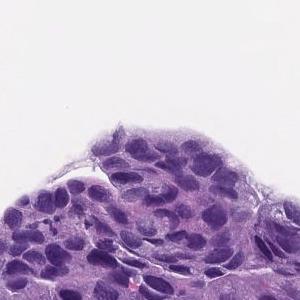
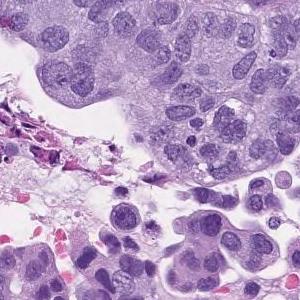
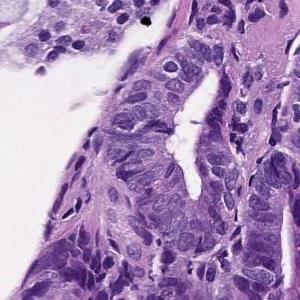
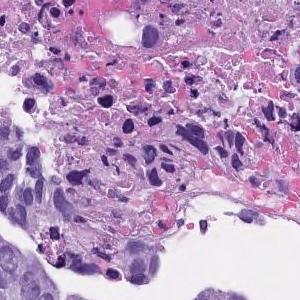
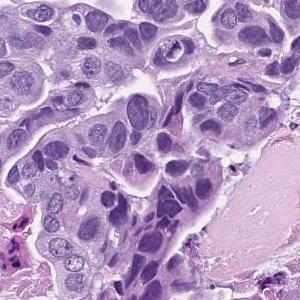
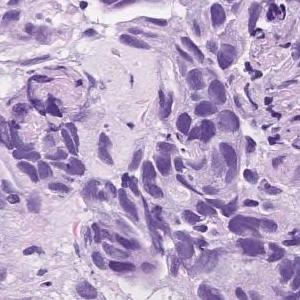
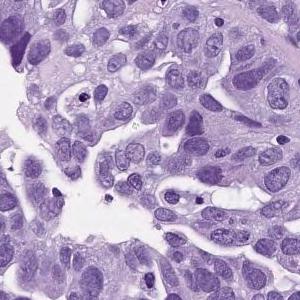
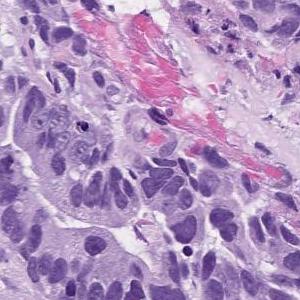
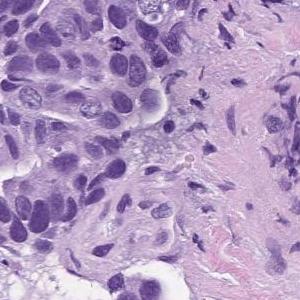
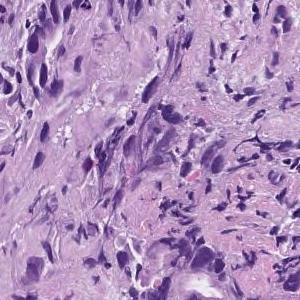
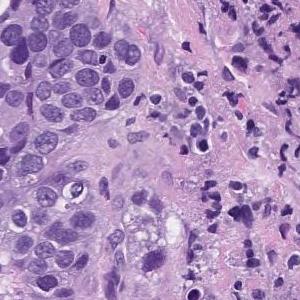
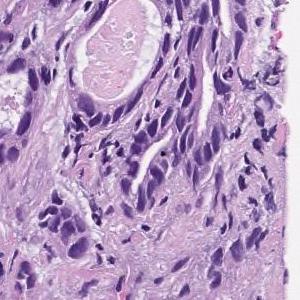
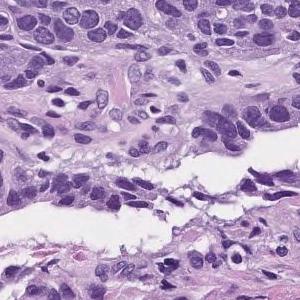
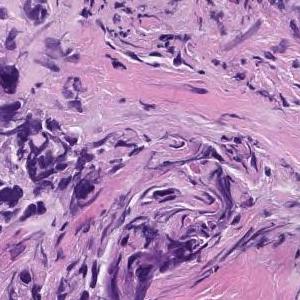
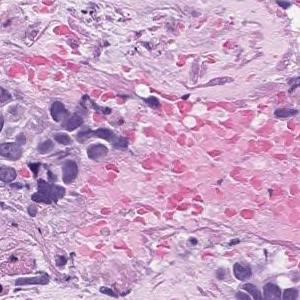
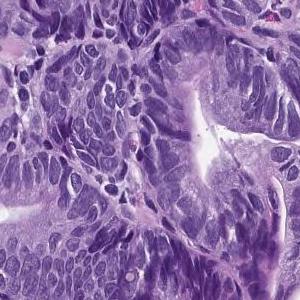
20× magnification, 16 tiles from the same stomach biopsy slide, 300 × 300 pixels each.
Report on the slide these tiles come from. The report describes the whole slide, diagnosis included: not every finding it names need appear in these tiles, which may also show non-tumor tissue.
In the superficial epithelium, tumor tissue that invades by forming medium-sized to small, irregular ducts is observed. moderately differentiated tubular adenocarcinoma.
